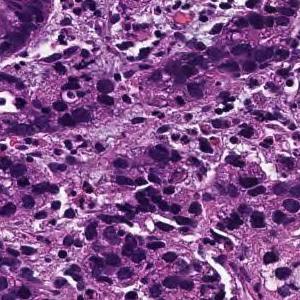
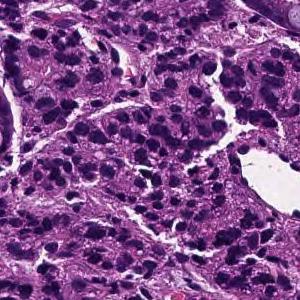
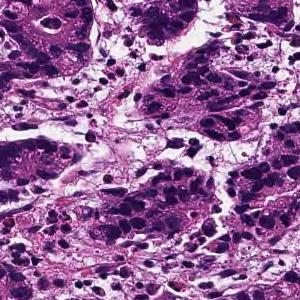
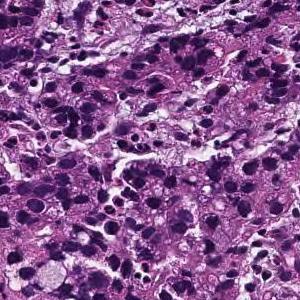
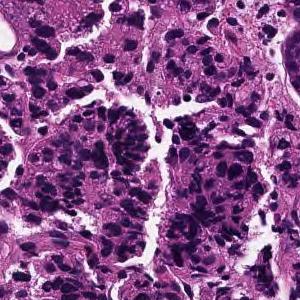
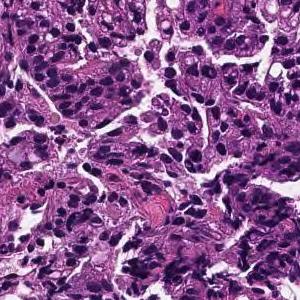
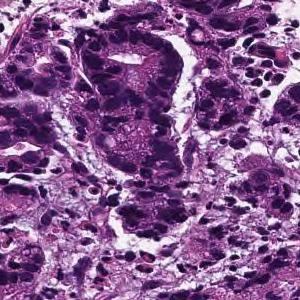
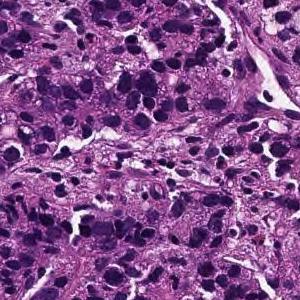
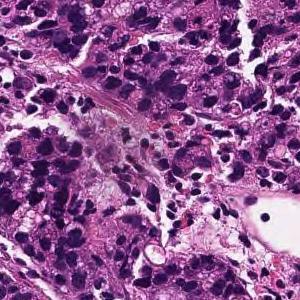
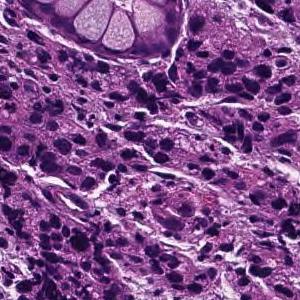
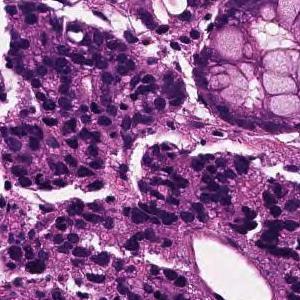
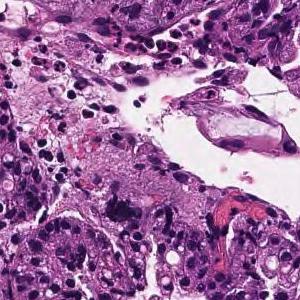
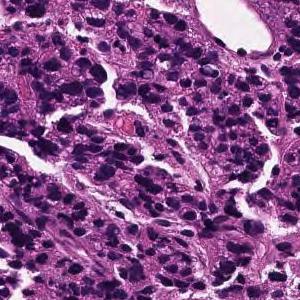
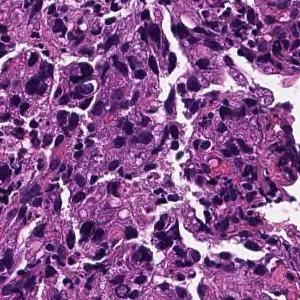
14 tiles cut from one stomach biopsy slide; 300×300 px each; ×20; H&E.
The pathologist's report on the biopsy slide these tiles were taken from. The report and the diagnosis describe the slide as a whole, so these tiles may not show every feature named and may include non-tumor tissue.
Tumor tissue consisting of medium-sized, cord-like or irregular glandular infiltration is observed in the superficial epithelium. Poorly differentiated adenocarcinoma, non-solid type or moderately differentiated tubular adenocarcinoma
Classified as moderately to poorly differentiated adenocarcinoma.
The term "non-solid type" comes from the Japanese Classification of Gastric Carcinoma.
